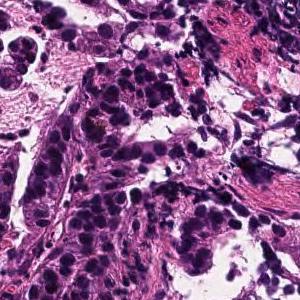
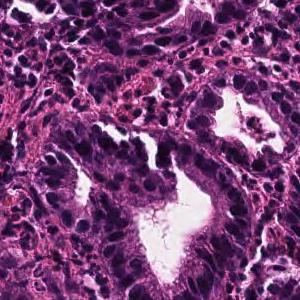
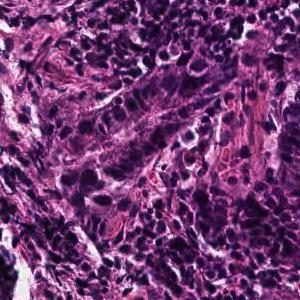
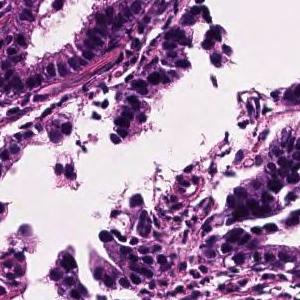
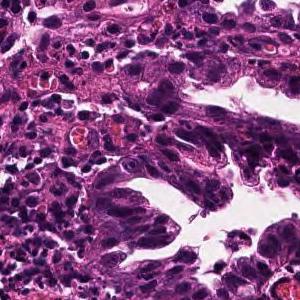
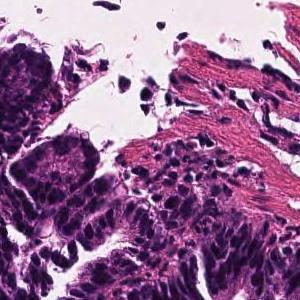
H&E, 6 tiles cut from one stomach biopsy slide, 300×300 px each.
Diagnostic report for the slide these tiles come from. The report and the diagnosis describe the slide as a whole, so these tiles may not show every feature named and may include non-tumor tissue.
Tumor tissue consisting of large papillary structures is found in the superficial epithelium. Papillary adenocarcinoma.
